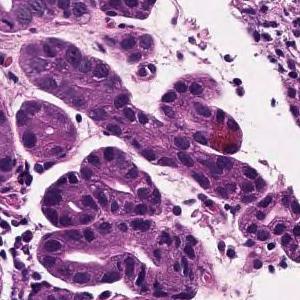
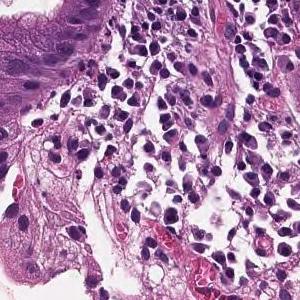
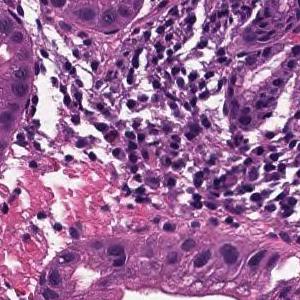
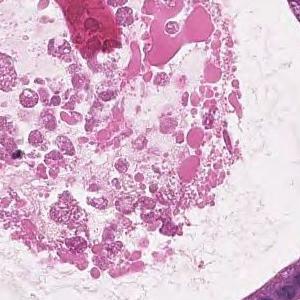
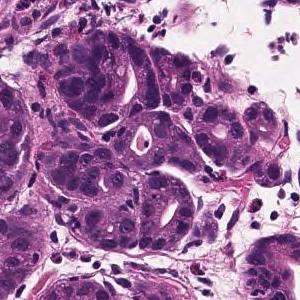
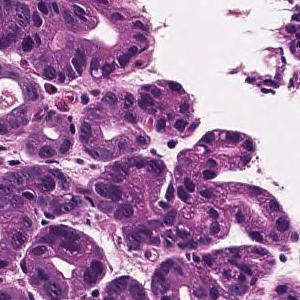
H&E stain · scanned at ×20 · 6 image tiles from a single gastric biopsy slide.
The pathologist's report on the biopsy slide these tiles were taken from. The findings and the diagnosis refer to the entire slide; these tiles show only part of it, possibly with non-tumor tissue, and may not show every feature named.
From the superficial epithelium to the muscularis mucosae, tumor tissue consisting of medium-sized and irregular glandular ducts infiltrating is observed. Well differentiated tubular adenocarcinoma
